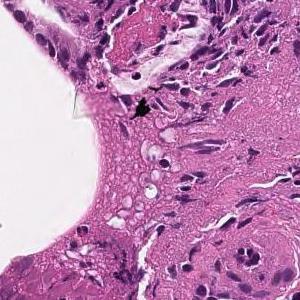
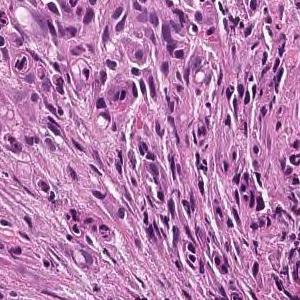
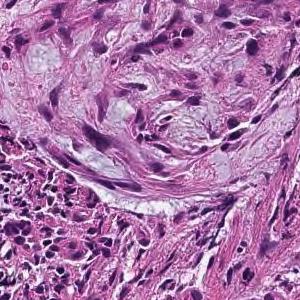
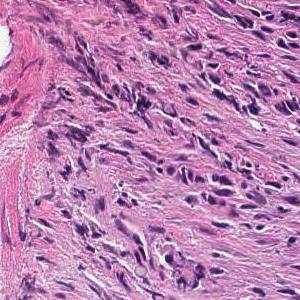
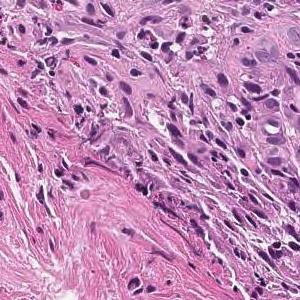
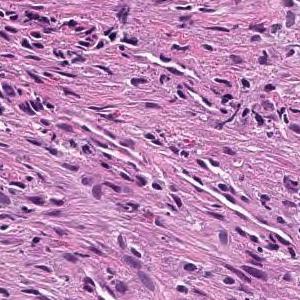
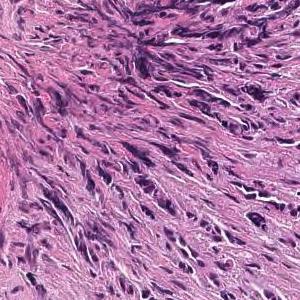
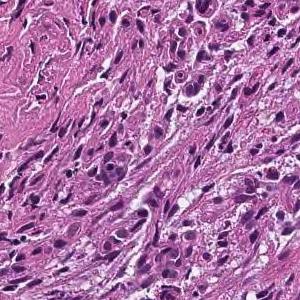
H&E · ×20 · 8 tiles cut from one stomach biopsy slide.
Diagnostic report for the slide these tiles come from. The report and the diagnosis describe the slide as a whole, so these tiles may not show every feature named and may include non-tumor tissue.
In the superficial epithelium, tumor tissue that invades by forming medium-sized to small, irregular ducts is observed. moderately differentiated tubular adenocarcinoma.
